12 image tiles from a single gastric biopsy slide; 300×300 px each; 20× magnification; hematoxylin and eosin stain.
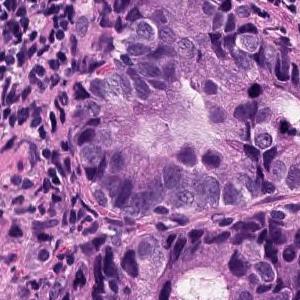
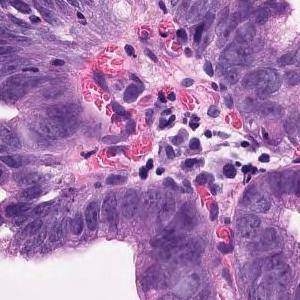
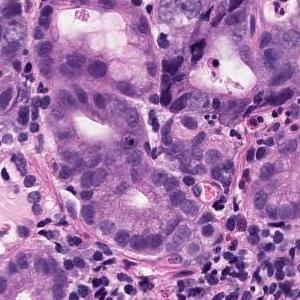
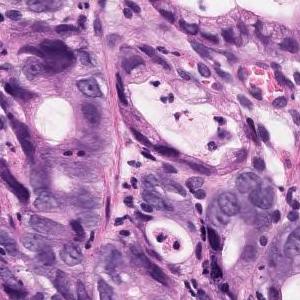
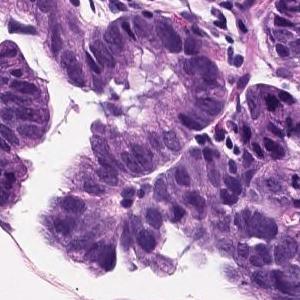
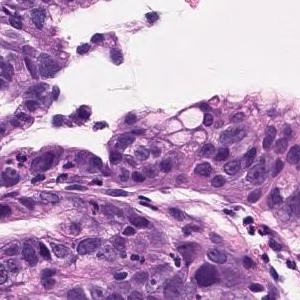
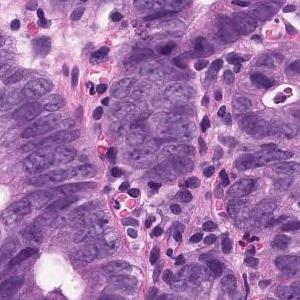
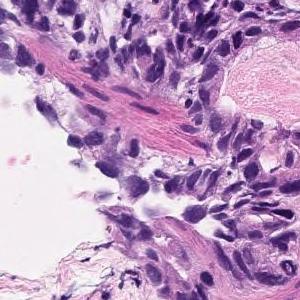
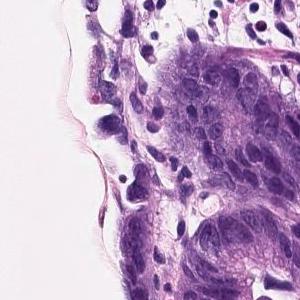
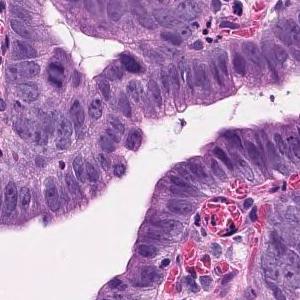
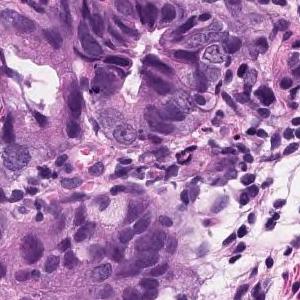
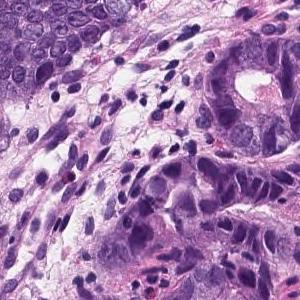
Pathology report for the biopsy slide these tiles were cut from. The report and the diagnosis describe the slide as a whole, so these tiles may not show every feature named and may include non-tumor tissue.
The swollen atypical epithelium of the nucleus forms an irregular ductal structure and proliferates. moderately differentiated tubular adenocarcinoma
